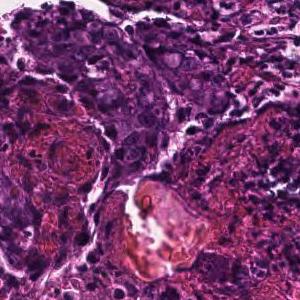
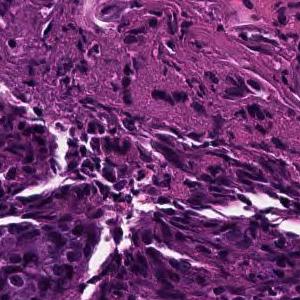
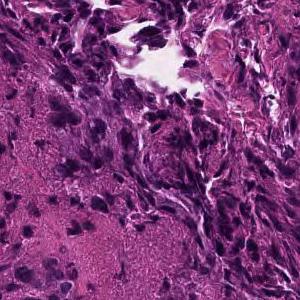
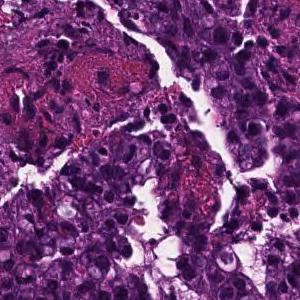
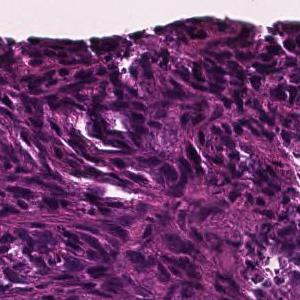
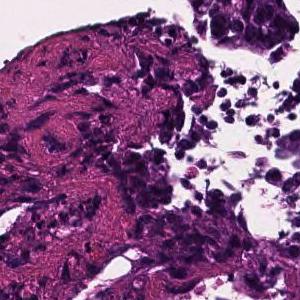
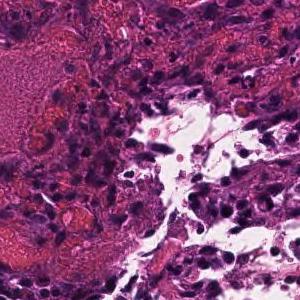
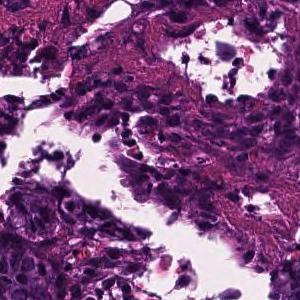
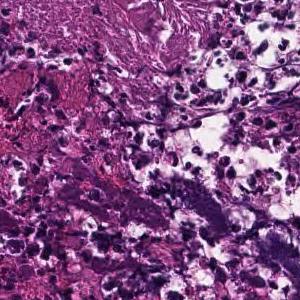
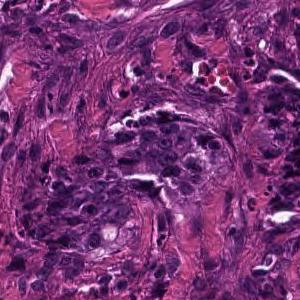
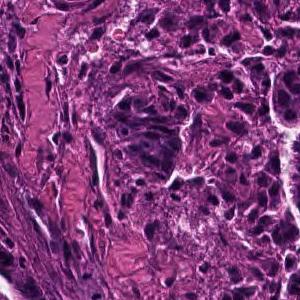
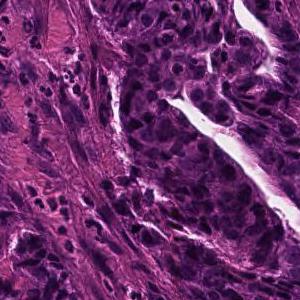
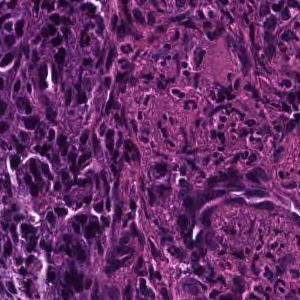
13 tiles from the same stomach biopsy slide, hematoxylin and eosin stain, 20× magnification.
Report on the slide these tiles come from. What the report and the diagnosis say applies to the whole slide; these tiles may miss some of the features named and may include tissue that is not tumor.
Tumor tissue consisting of medium-sized, cord-like or irregular glandular infiltration is observed in the superficial epithelium. Poorly differentiated adenocarcinoma, non-solid type or moderately differentiated tubular adenocarcinoma
Subtype: Moderately to poorly differentiated adenocarcinoma.
The term "non-solid type" comes from the Japanese Classification of Gastric Carcinoma.
